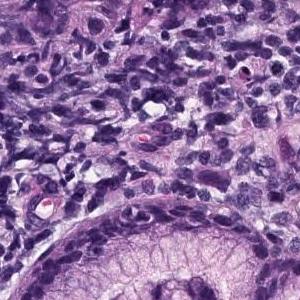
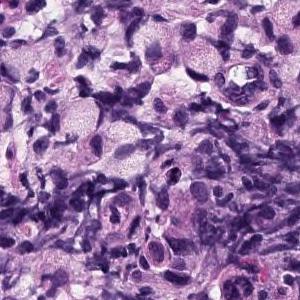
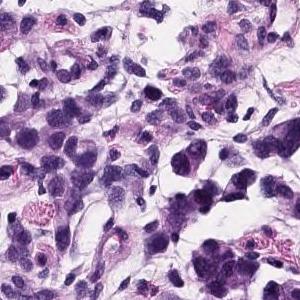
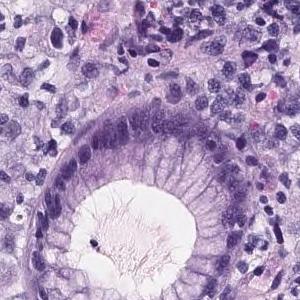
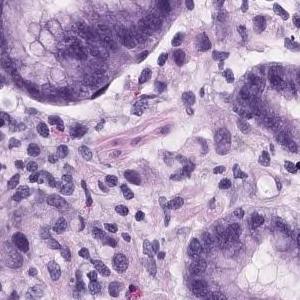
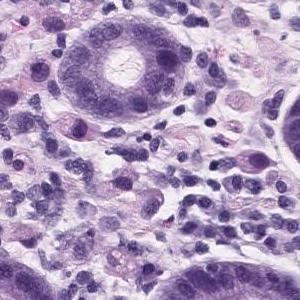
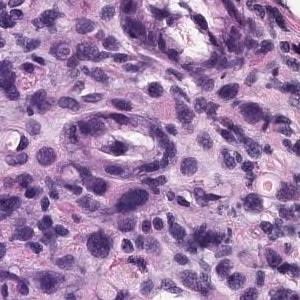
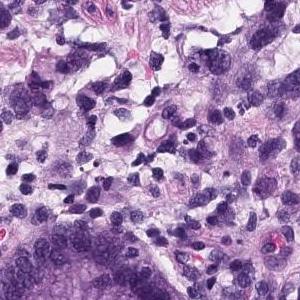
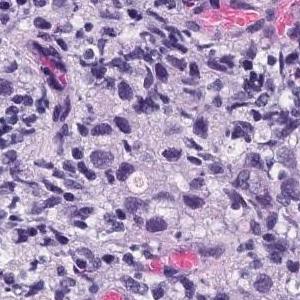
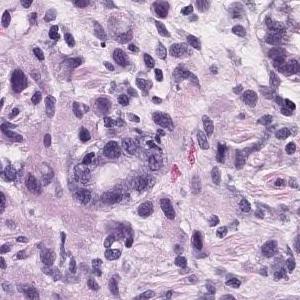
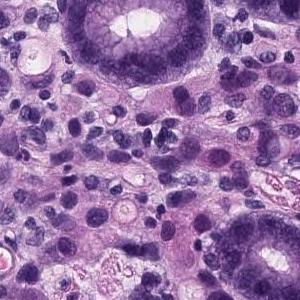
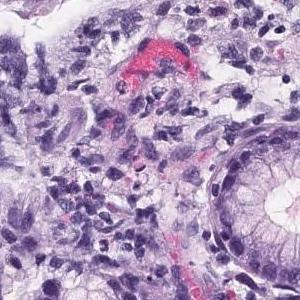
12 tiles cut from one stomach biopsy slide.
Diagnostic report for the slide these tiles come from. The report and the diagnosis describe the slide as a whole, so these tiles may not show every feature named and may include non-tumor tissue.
Group 5, Adenocarcinoma. Poorly differentiated adenocarcinoma, non-solid type
"Non-solid type" is a category of the Japanese Classification of Gastric Carcinoma.
